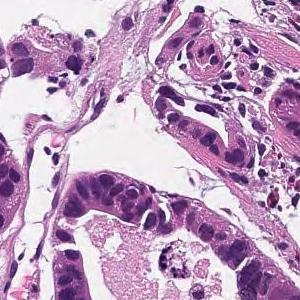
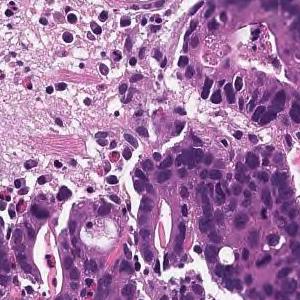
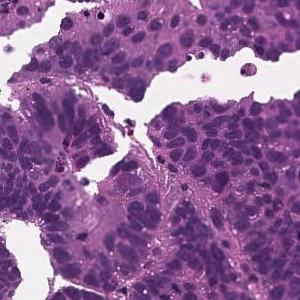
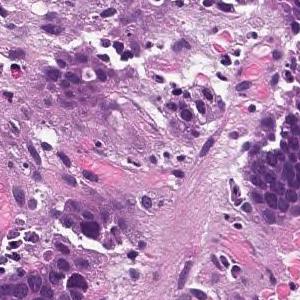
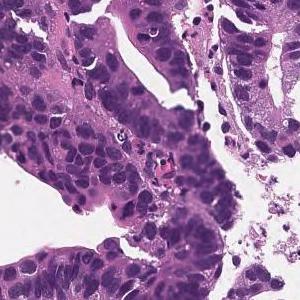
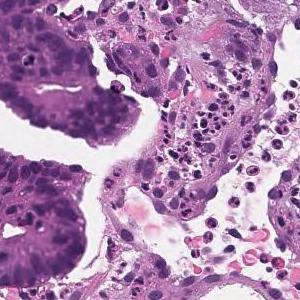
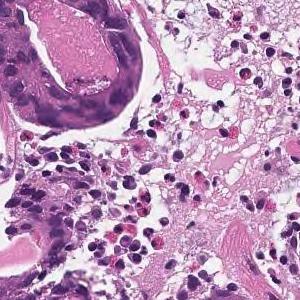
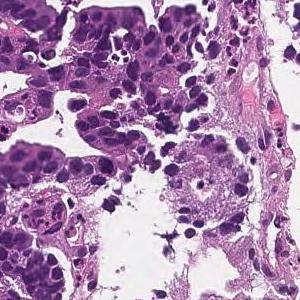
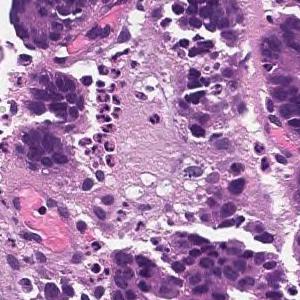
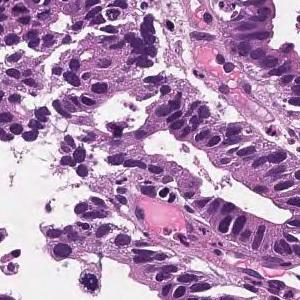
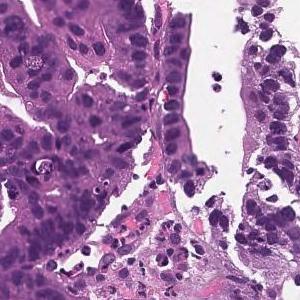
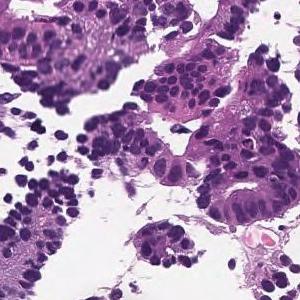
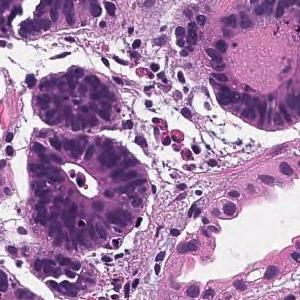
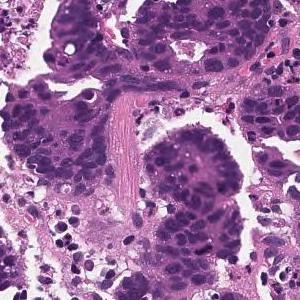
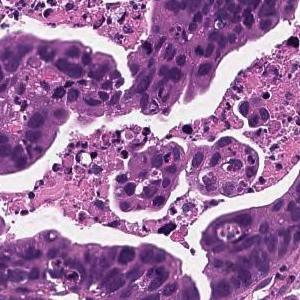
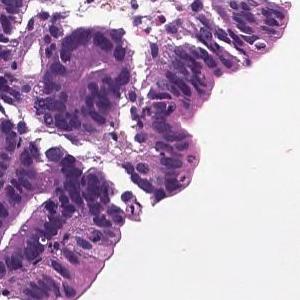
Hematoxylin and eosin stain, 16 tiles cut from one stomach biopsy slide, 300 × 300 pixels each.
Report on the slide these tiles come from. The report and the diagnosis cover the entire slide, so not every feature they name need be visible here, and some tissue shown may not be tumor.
In the superficial epithelium, tumor tissue that invades by forming medium-sized to small, irregular ducts is observed. moderately differentiated tubular adenocarcinoma.
